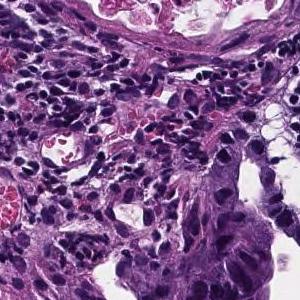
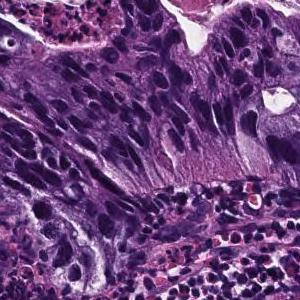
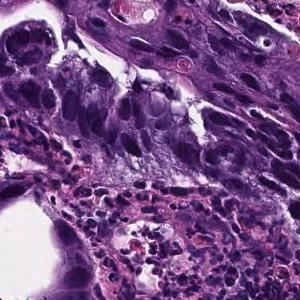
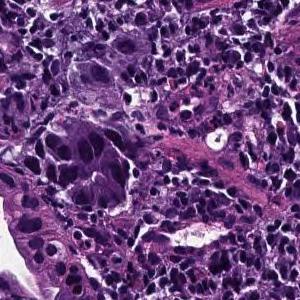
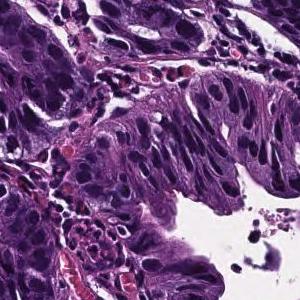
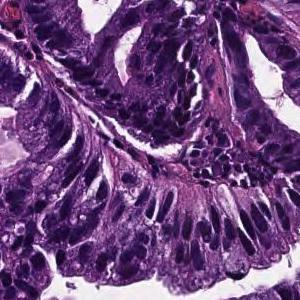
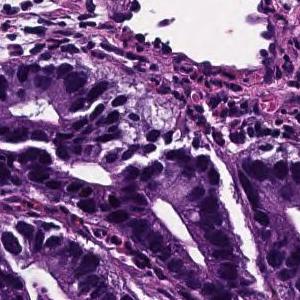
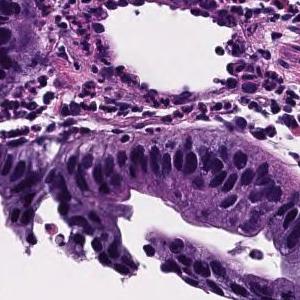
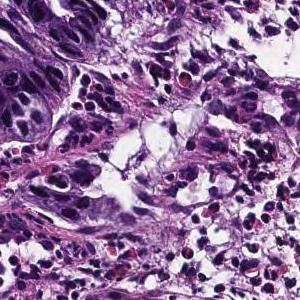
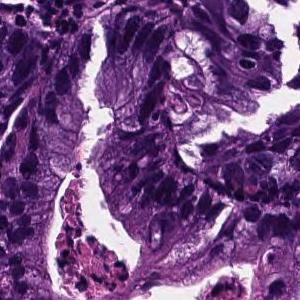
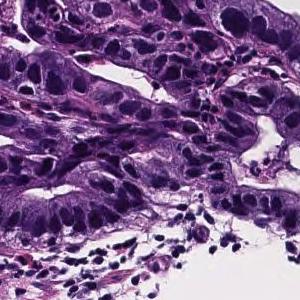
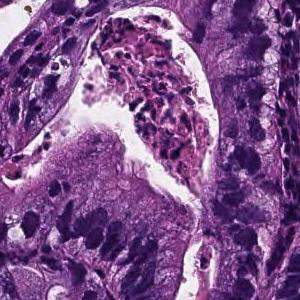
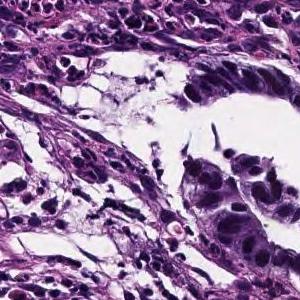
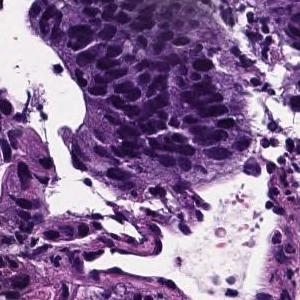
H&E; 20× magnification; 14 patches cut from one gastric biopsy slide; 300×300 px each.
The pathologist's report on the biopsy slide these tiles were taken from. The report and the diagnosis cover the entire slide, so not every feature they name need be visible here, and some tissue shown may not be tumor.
In the superficial epithelium, tumor tissue that invades by forming medium-sized to small, irregular ducts is observed. Moderately differentiated adenocarcinoma.
Histologic type: Moderately differentiated tubular adenocarcinoma.
